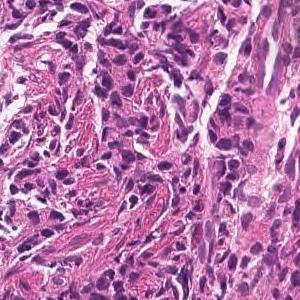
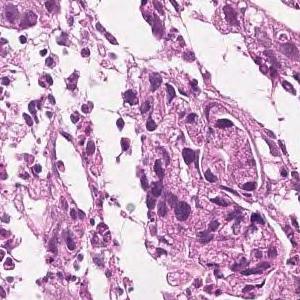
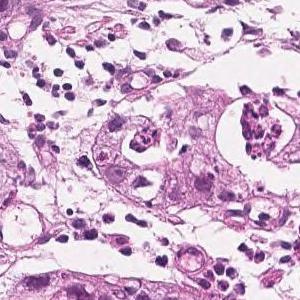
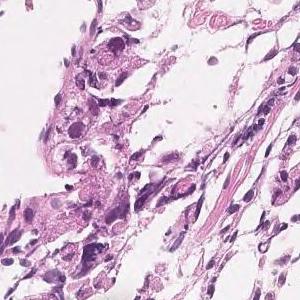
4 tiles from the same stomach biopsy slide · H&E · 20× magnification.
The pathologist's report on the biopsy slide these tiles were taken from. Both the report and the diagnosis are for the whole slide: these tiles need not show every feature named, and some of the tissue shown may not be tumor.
In the superficial epithelium, medium to small, irregular glandular ducts are formed, and in some parts, the glandular ducts are fused, and in other parts, small cord-like infiltrating tumor tissue is observed. Moderately to poorly differentiated adenocarcinoma.
